H&E, 7 patches cut from one gastric biopsy slide, each 300 × 300 pixels.
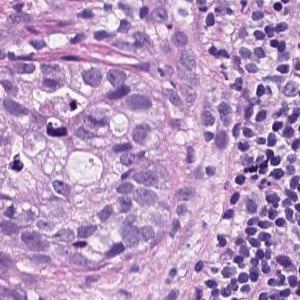
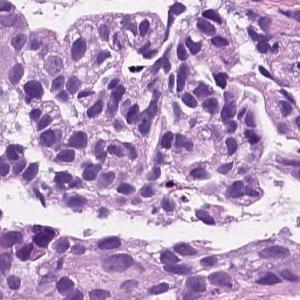
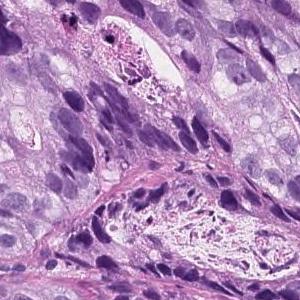
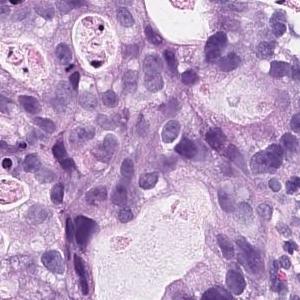
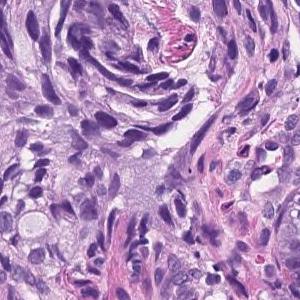
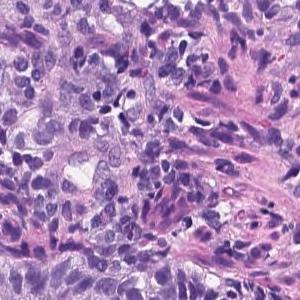
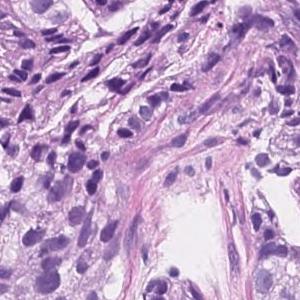
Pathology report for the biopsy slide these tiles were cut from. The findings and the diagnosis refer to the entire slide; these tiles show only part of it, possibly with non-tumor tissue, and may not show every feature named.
On the superficial epithelium, tumor tissue consisting of an image of large, irregular glandular ducts partially fused and infiltrated is observed. Well to moderately differentiated tubular adenocarcinoma
